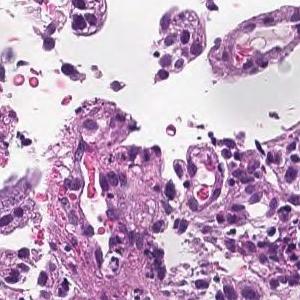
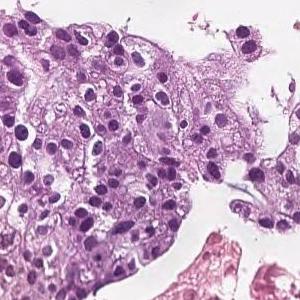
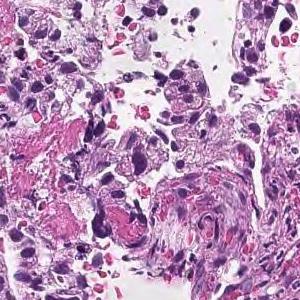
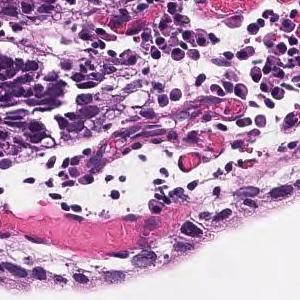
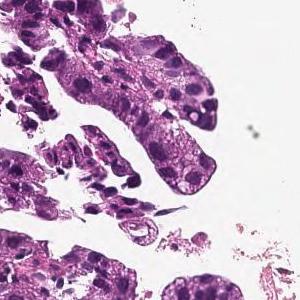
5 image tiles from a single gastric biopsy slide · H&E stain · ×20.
Diagnostic report for the slide these tiles come from. What the report and the diagnosis say applies to the whole slide; these tiles may miss some of the features named and may include tissue that is not tumor.
Tumor tissue consisting of medium-sized, cord-like or irregular glandular infiltration is observed in the superficial epithelium. Poorly differentiated adenocarcinoma, non-solid type or moderately differentiated tubular adenocarcinoma
Tumor subtype: moderately to poorly differentiated adenocarcinoma.
The non-solid type named here is a Japanese Classification of Gastric Carcinoma category.
